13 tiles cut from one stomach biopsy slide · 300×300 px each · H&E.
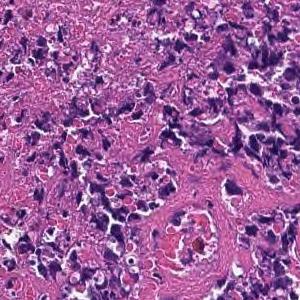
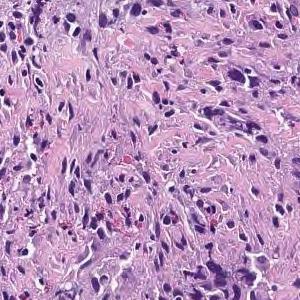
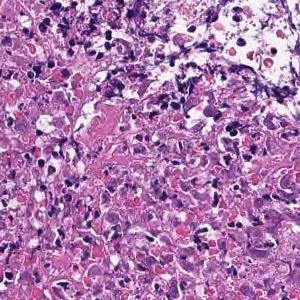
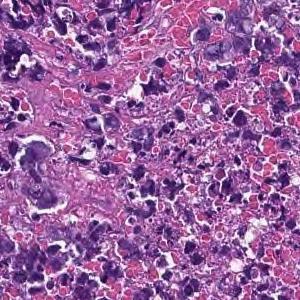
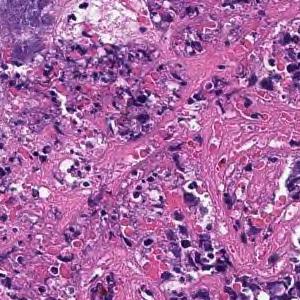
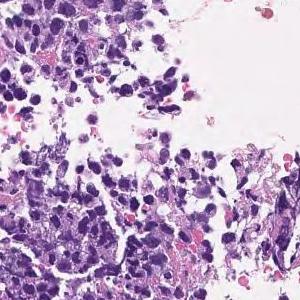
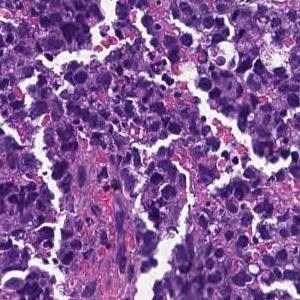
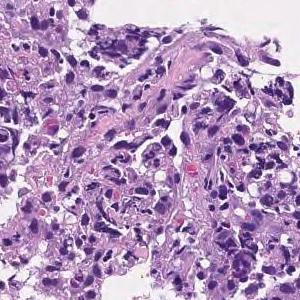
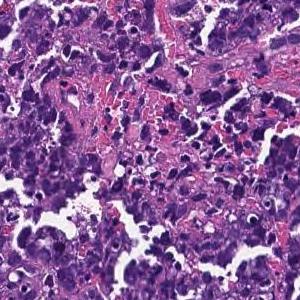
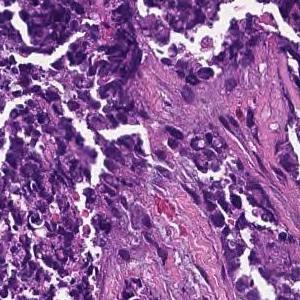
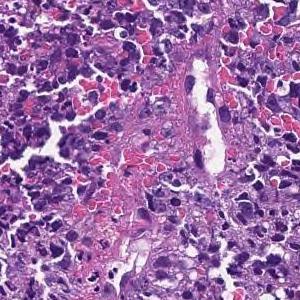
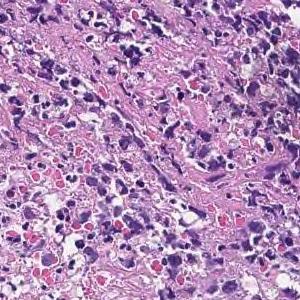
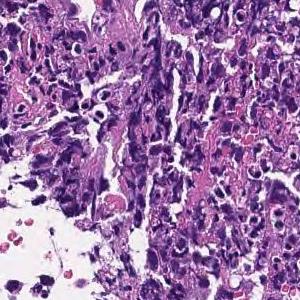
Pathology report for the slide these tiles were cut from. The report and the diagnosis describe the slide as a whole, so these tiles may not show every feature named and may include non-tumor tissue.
Most are composed of coagulative necrotic tissue, but some show a large sheet-like shape, and some show tumor tissue infiltrating with a small cord-like structure. Poorly differentiated adenocarcinoma, solid-type
Subtype: Poorly differentiated adenocarcinoma, solid type. This name comes from the Japanese Classification of Gastric Carcinoma; the WHO 2019 classification calls it tubular adenocarcinoma, poorly differentiated.
